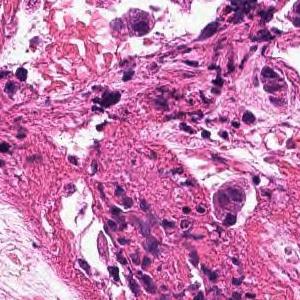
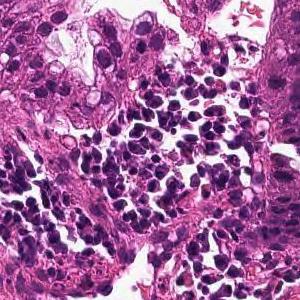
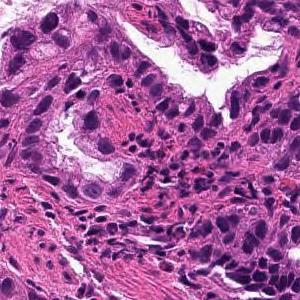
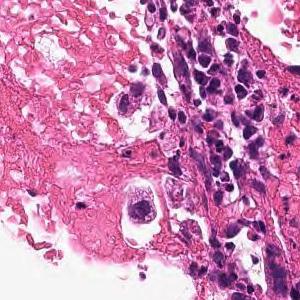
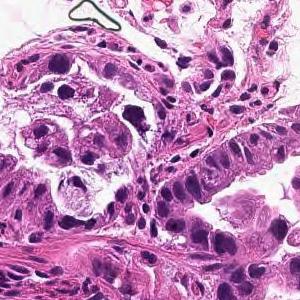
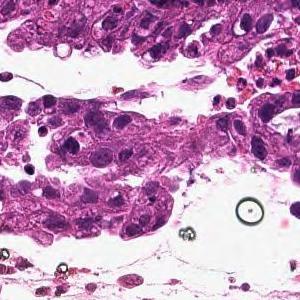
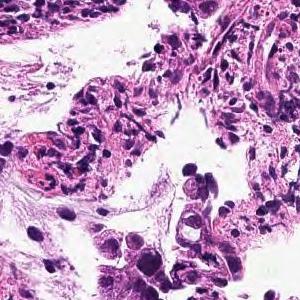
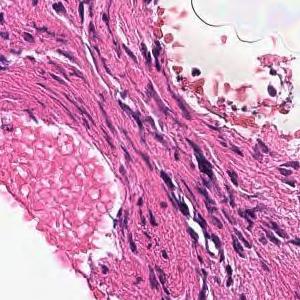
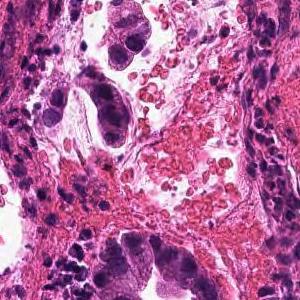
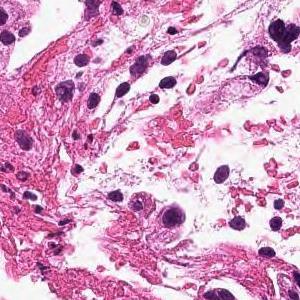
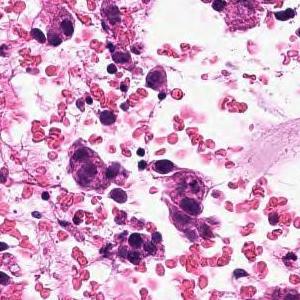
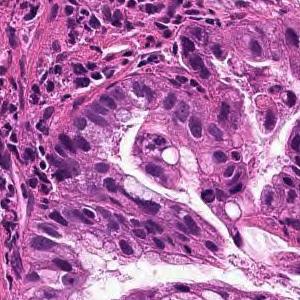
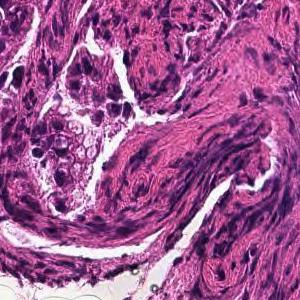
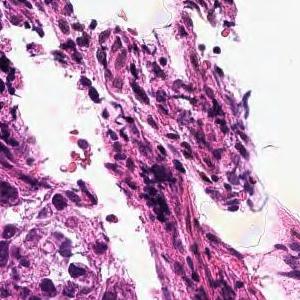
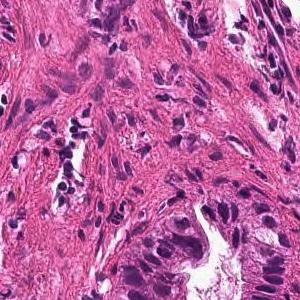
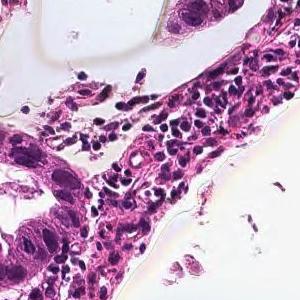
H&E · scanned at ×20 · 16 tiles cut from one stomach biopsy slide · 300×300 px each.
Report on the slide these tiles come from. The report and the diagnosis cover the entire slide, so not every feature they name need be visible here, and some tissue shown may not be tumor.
From the superficial epithelium to the muscularis mucosae, tumor tissue infiltrating by forming medium-sized irregular gland ducts is observed. Well differentiated tubular adenocarcinoma
